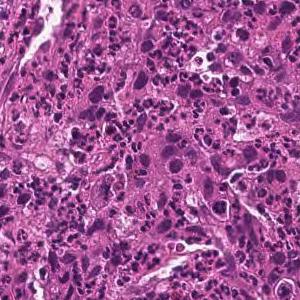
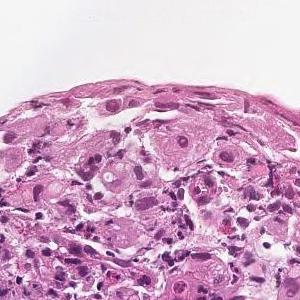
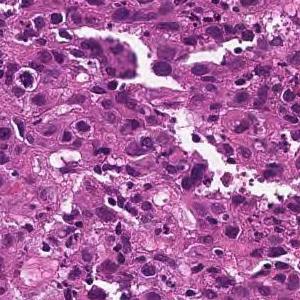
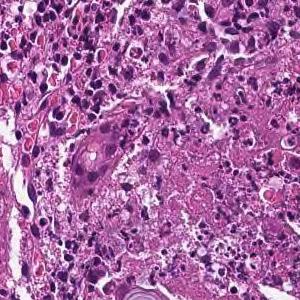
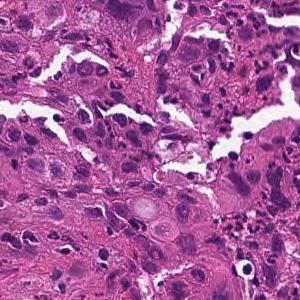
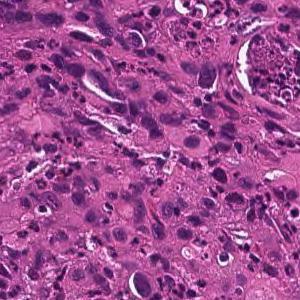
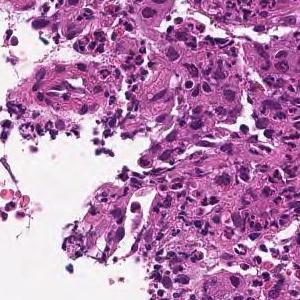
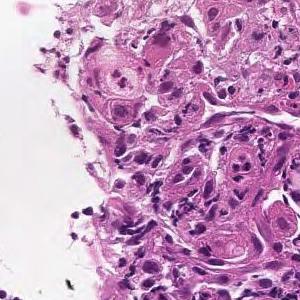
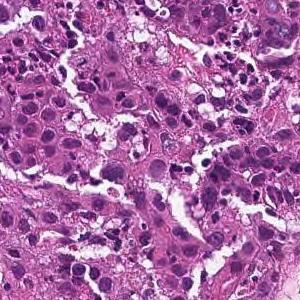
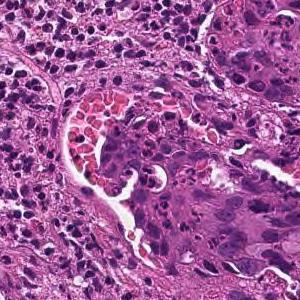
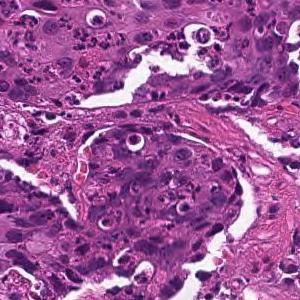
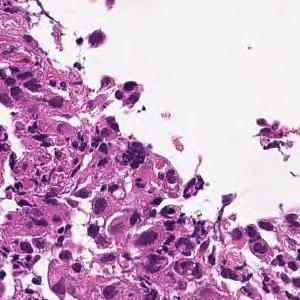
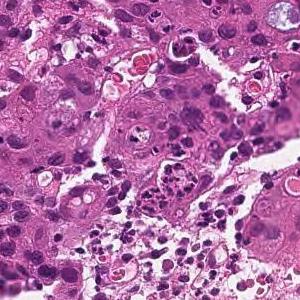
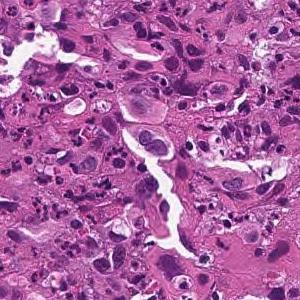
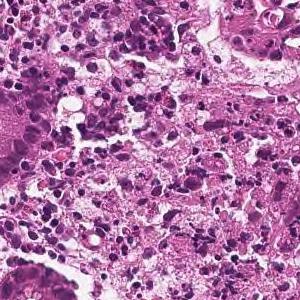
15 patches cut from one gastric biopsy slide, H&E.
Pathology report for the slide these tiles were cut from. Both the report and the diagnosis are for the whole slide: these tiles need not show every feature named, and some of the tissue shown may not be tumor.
The superficial epithelium shows a large sheet-like shape, and some tumor tissue infiltrates with small irregular ducts. Poorly differentiated adenocarcinoma, solid-type
Classified as poorly differentiated adenocarcinoma, solid type (Japanese Classification of Gastric Carcinoma). The WHO 2019 equivalent is tubular adenocarcinoma, poorly differentiated.
